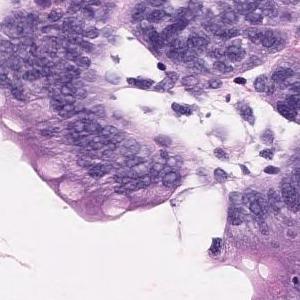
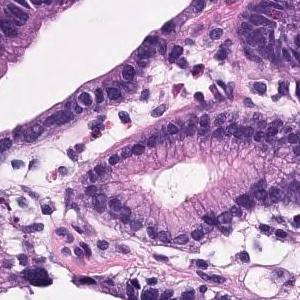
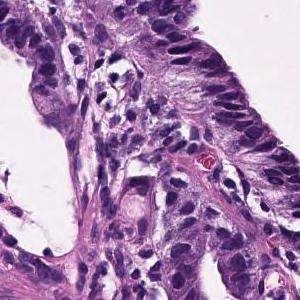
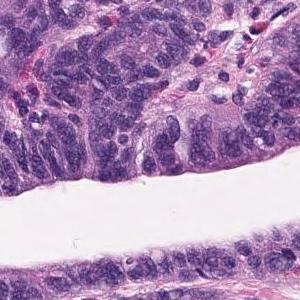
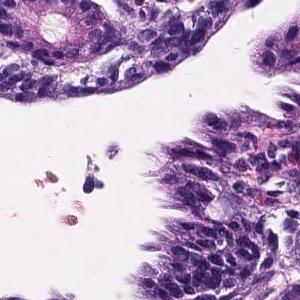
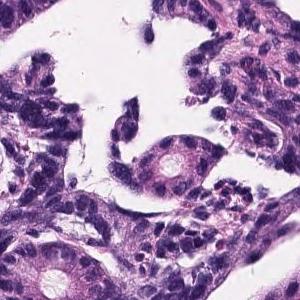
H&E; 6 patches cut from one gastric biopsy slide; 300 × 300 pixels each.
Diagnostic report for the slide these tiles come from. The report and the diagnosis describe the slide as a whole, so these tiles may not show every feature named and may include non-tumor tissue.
Tumor cells are large, highly columnar, large club-shaped nuclei, and are associated with chromatin aggregation. Papillary adenocarcinoma.
